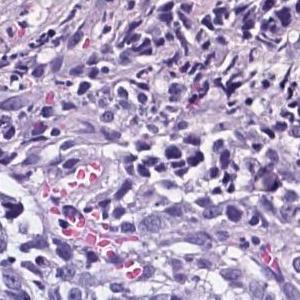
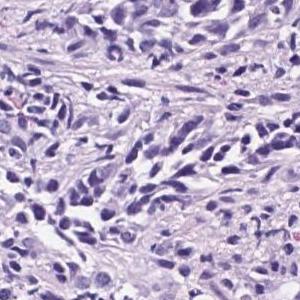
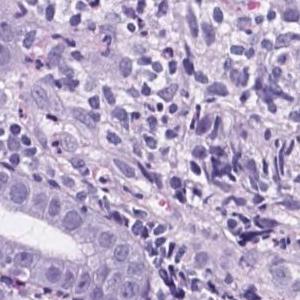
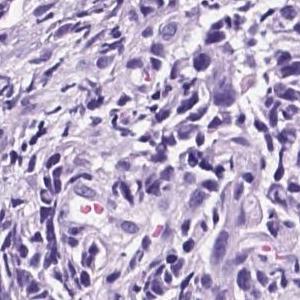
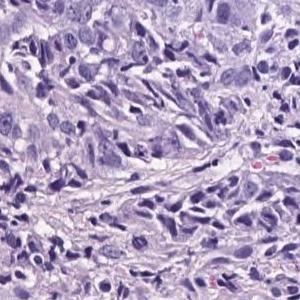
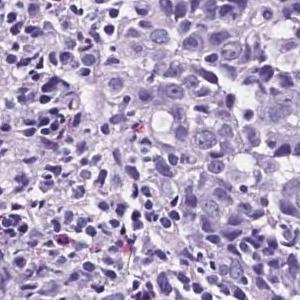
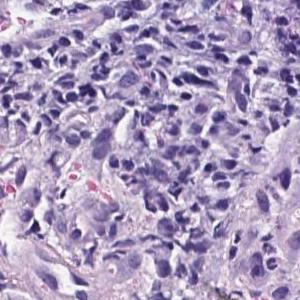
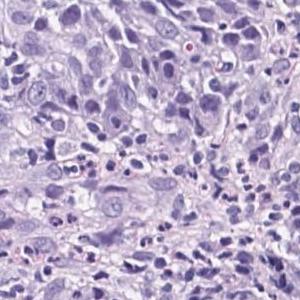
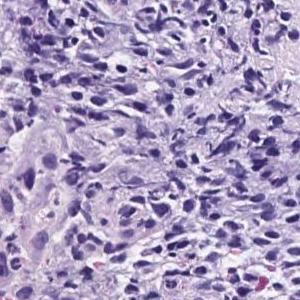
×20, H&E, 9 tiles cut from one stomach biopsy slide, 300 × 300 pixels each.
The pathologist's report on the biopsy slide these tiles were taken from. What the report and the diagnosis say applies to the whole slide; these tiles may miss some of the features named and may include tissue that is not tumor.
Medium to small atypical epithelial cells that become cord-like or irregularly agglomerated and infiltrate. Poorly differentiated adenocarcinoma
Classified as poorly differentiated adenocarcinoma, solid type. This name comes from the Japanese Classification of Gastric Carcinoma; the WHO 2019 classification calls it tubular adenocarcinoma, poorly differentiated.
